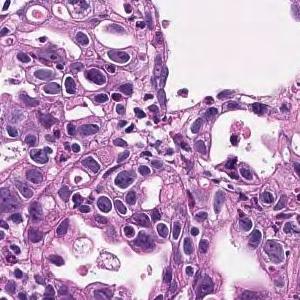
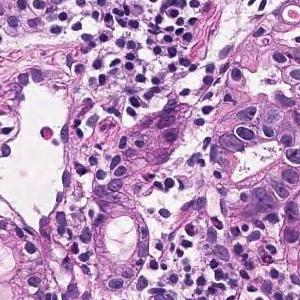
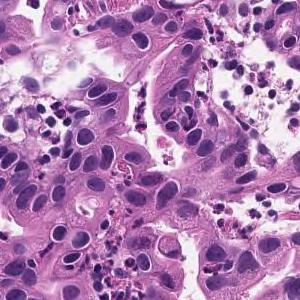
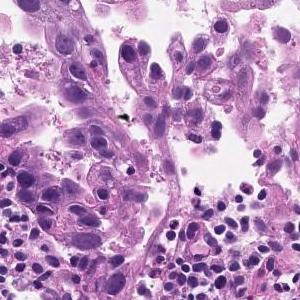
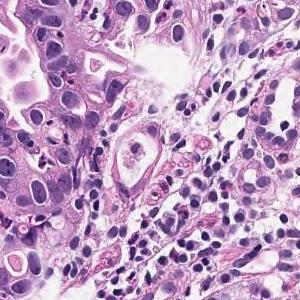
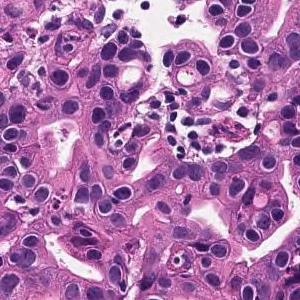
6 tiles cut from one stomach biopsy slide, 300 × 300 pixels each.
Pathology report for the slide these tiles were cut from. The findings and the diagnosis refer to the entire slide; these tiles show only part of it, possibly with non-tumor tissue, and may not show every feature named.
In the superficial epithelium, tumor tissue that invades by forming medium-sized to small, irregular ducts is observed. moderately differentiated tubular adenocarcinoma.
